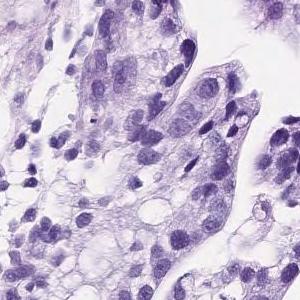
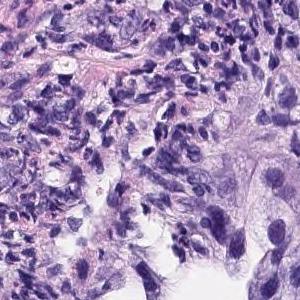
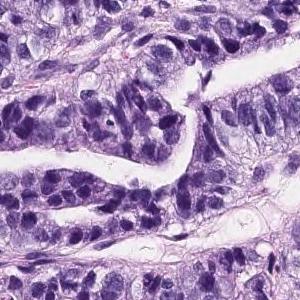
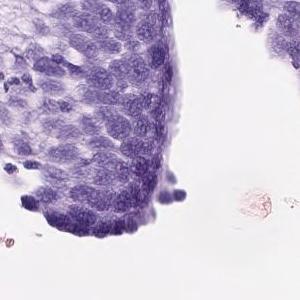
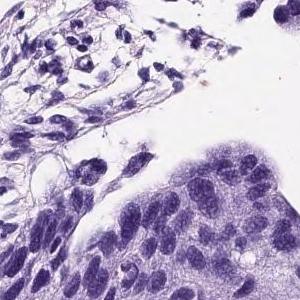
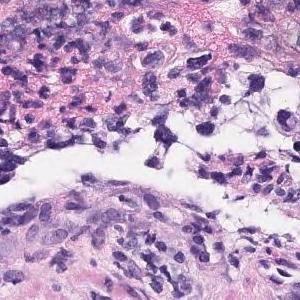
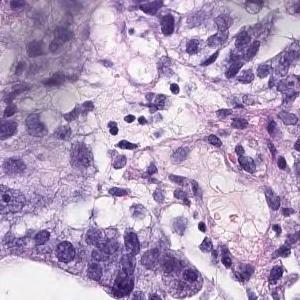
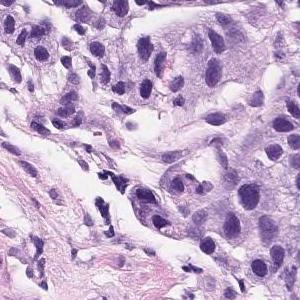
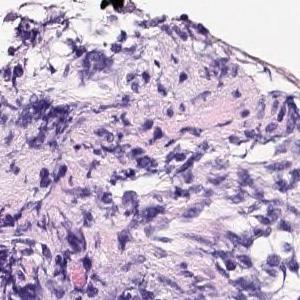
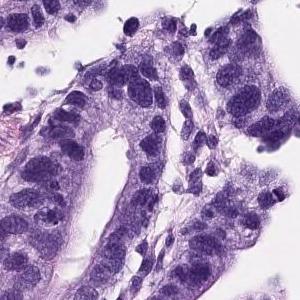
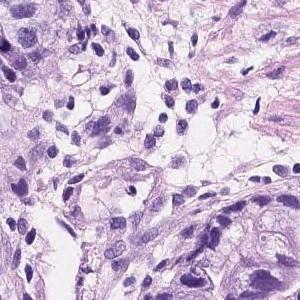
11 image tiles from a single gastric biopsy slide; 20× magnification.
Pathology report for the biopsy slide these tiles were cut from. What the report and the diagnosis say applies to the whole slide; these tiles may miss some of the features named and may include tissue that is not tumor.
On the superficial epithelium, tumor tissue consisting of medium to small irregular tubules partially fused and proliferated is observed. moderately differentiated tubular adenocarcinoma
